6 image tiles from a single gastric biopsy slide.
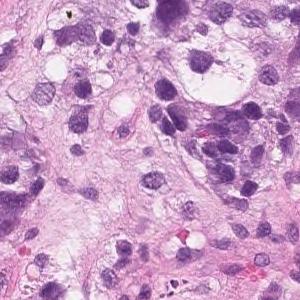
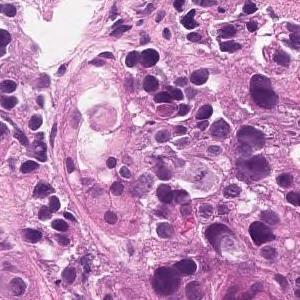
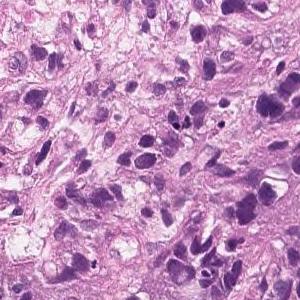
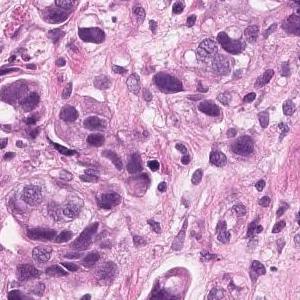
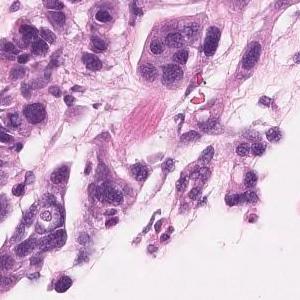
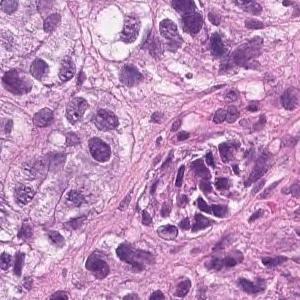
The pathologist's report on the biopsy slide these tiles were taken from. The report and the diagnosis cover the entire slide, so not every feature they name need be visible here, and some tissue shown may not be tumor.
Tumor tissue that infiltrates the epithelium in an alveolar manner. Poorly differentiated adenocarcinoma, solid-type
Histologic type: Poorly differentiated adenocarcinoma, solid type, a category of the Japanese Classification of Gastric Carcinoma; in the WHO 2019 classification it is tubular adenocarcinoma, poorly differentiated.
